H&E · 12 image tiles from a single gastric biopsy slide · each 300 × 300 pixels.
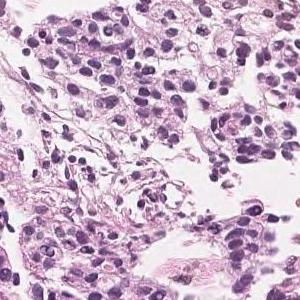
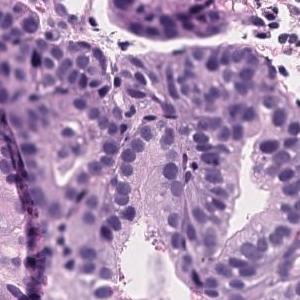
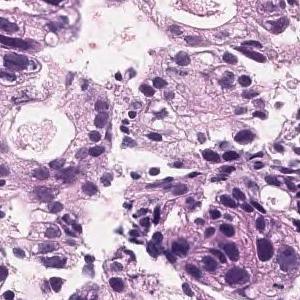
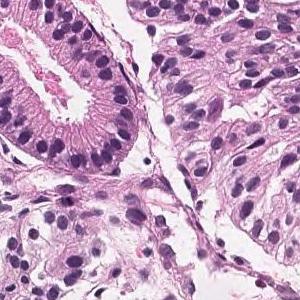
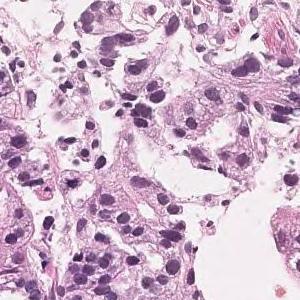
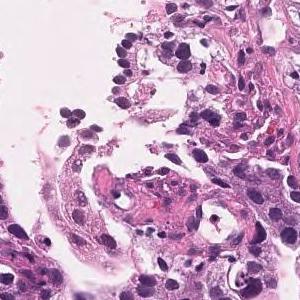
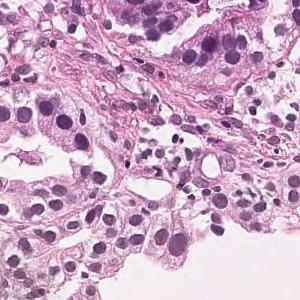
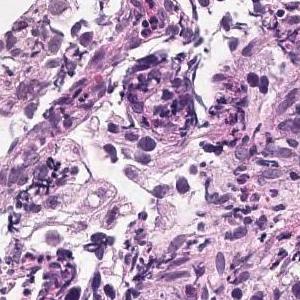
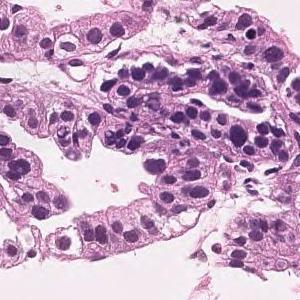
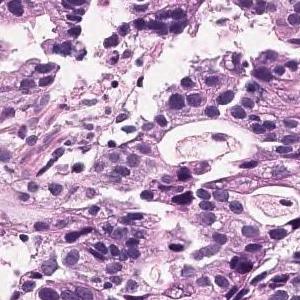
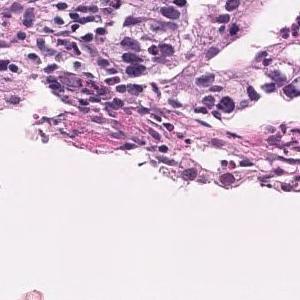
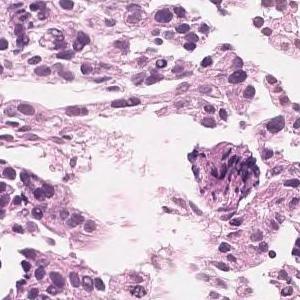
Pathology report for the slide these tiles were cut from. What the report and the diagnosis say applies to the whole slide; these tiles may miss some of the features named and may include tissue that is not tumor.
In the superficial epithelium, tumor tissue that invades by forming medium-sized to small, irregular ducts is observed. moderately differentiated tubular adenocarcinoma.
